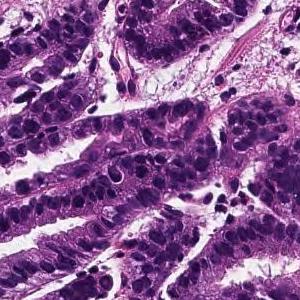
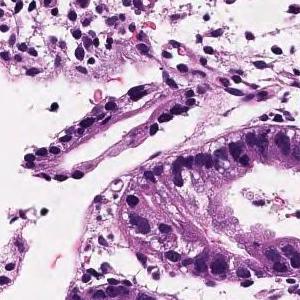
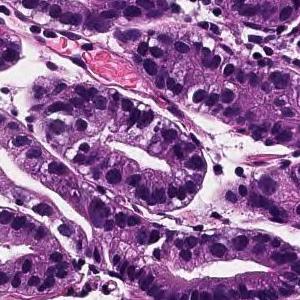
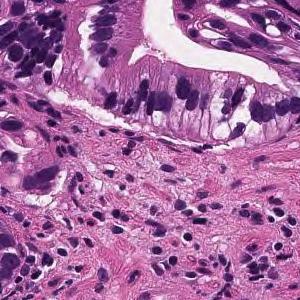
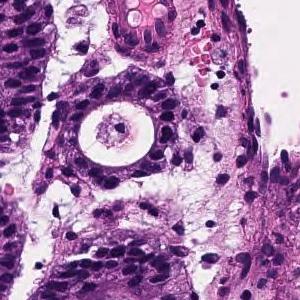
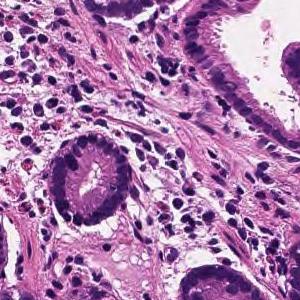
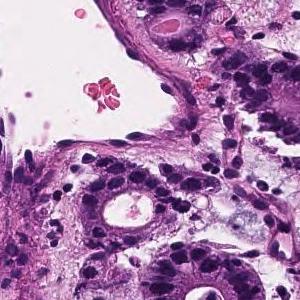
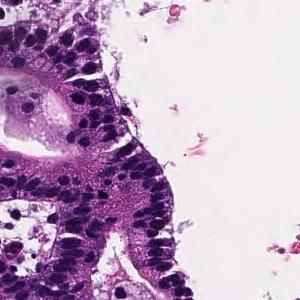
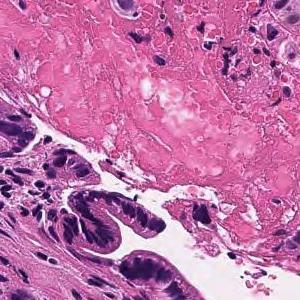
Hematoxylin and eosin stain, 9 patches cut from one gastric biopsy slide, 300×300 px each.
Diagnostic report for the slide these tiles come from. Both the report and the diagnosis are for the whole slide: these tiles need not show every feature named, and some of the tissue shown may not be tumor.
From the superficial epithelium to the muscularis mucosae, tumor tissue consisting of medium-sized and irregular glandular ducts infiltrating is observed. Well differentiated tubular adenocarcinoma
